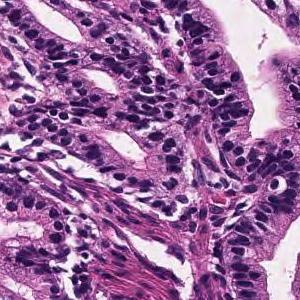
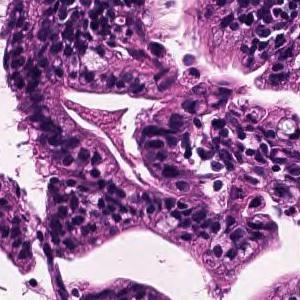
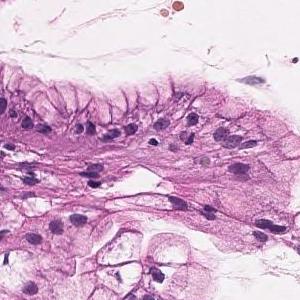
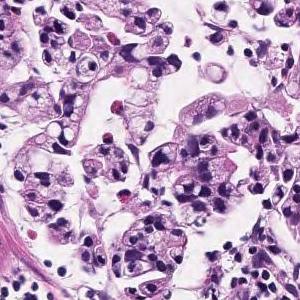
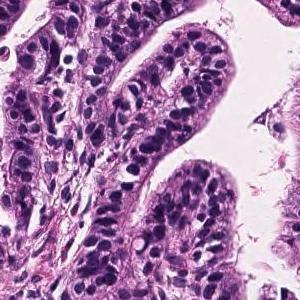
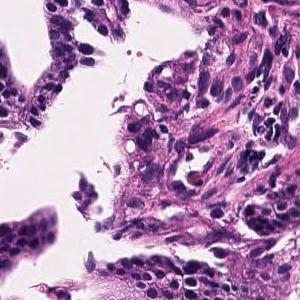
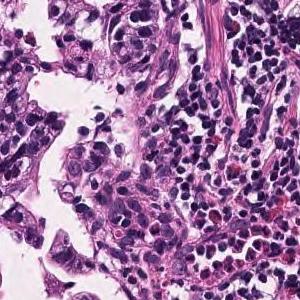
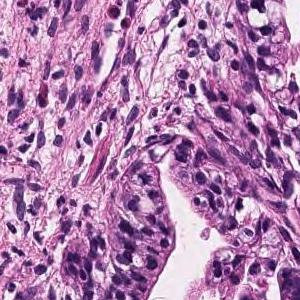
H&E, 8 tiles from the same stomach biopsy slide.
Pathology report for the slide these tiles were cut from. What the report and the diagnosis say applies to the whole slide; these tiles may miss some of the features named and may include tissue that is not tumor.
Tumor tissue consisting of large papillary structures or irregular glandular ducts partially fused and infiltrated is observed in the superficial epithelium. Well to moderately differentiated tubular adenocarcinoma.
The dataset labels this slide moderately differentiated tubular adenocarcinoma.
